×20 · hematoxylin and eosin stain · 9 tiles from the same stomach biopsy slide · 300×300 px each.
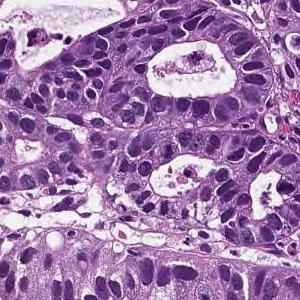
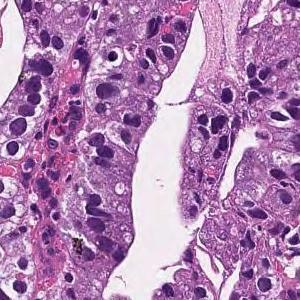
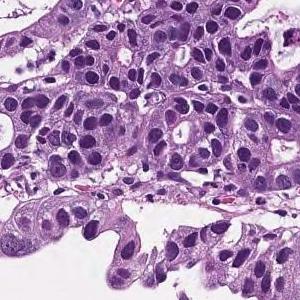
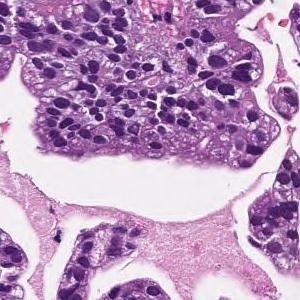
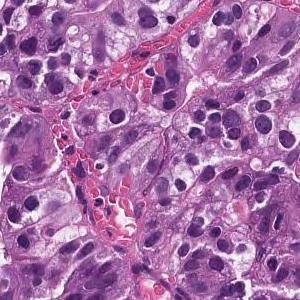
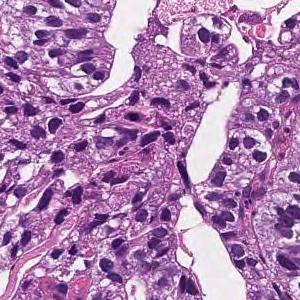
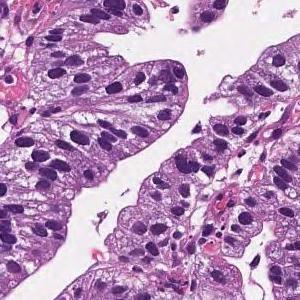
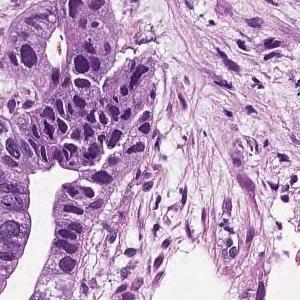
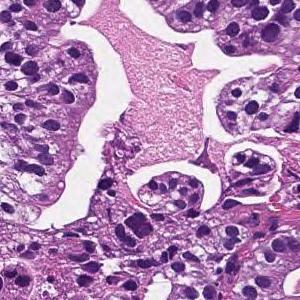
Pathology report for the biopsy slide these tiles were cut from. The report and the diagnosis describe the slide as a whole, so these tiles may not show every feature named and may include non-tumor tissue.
On the superficial epithelium, tumor tissue consisting of large, irregular glandular ducts partially fused and infiltrated is observed. Well to moderately differentiated tubular adenocarcinoma (well differentiated tubular adenocarcinoma, moderately differentiated tubular adenocarcinoma)
Histological subtype: Well to moderately differentiated tubular adenocarcinoma.
